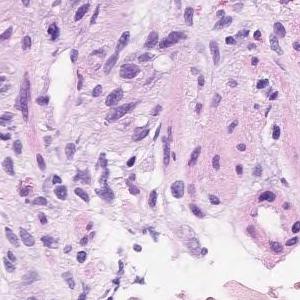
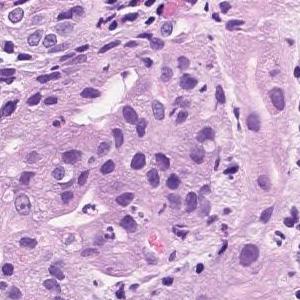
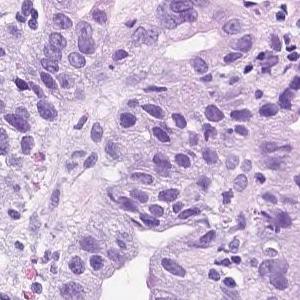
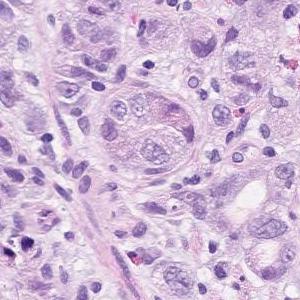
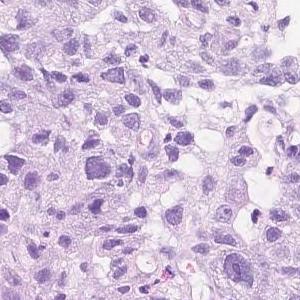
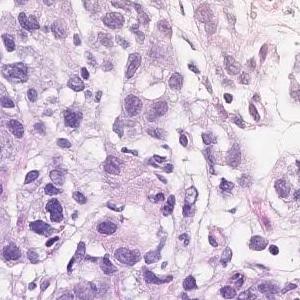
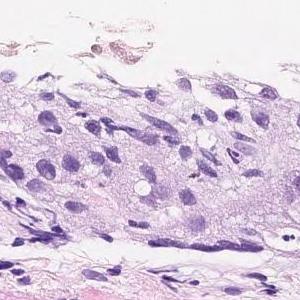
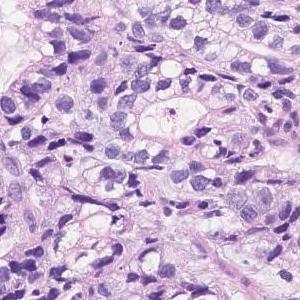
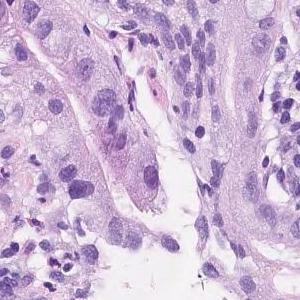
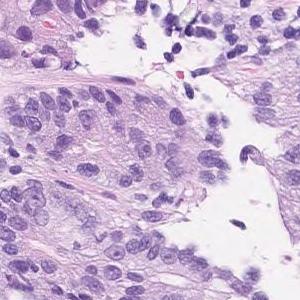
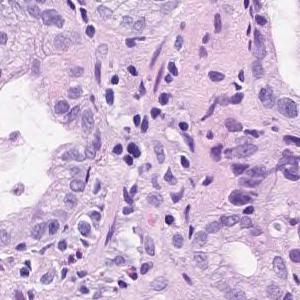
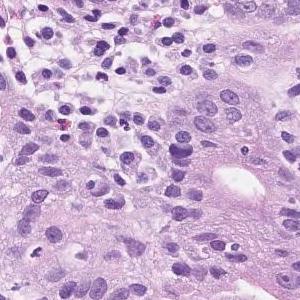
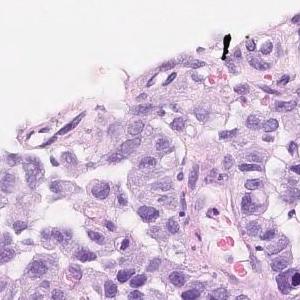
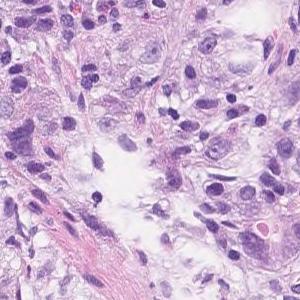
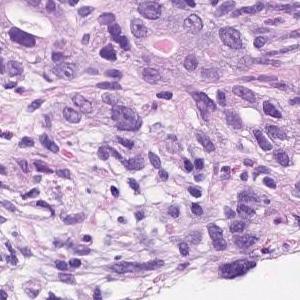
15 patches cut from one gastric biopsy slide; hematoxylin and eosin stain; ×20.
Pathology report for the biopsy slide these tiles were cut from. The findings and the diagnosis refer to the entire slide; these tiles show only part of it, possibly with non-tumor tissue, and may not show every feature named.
In the superficial epithelium, tumor tissue that invades by forming medium-sized to small, irregular ducts is observed. Moderately to poorly differentiated adenocarcinoma
